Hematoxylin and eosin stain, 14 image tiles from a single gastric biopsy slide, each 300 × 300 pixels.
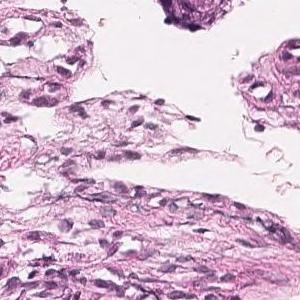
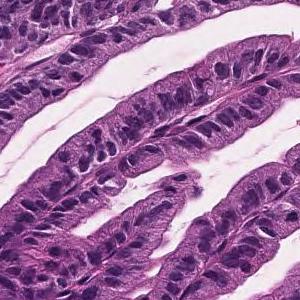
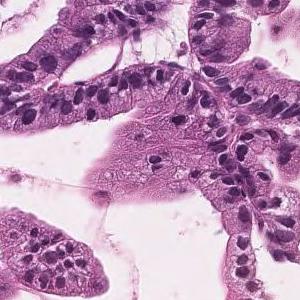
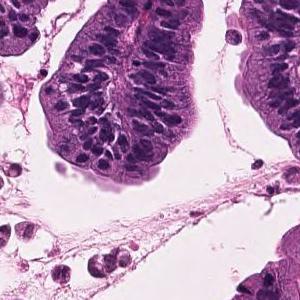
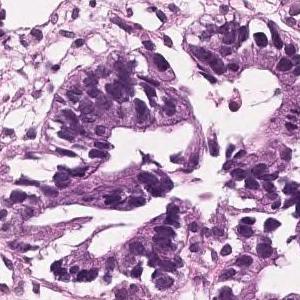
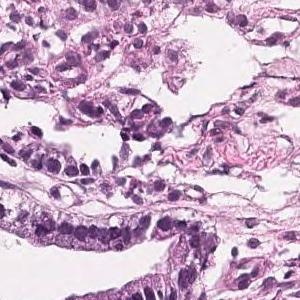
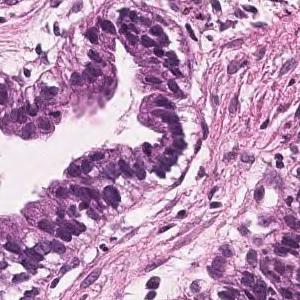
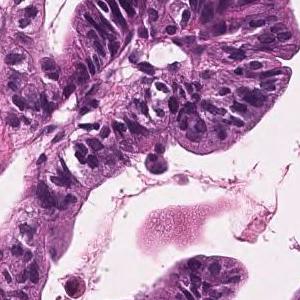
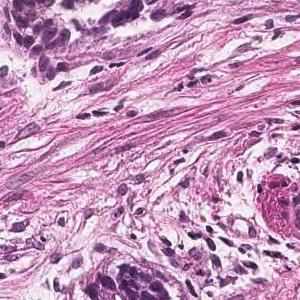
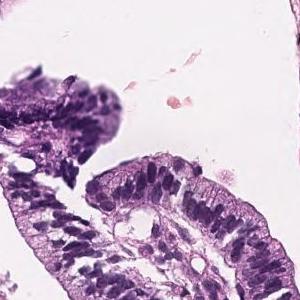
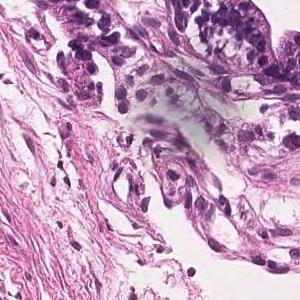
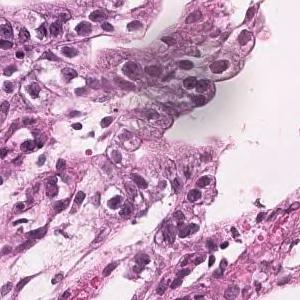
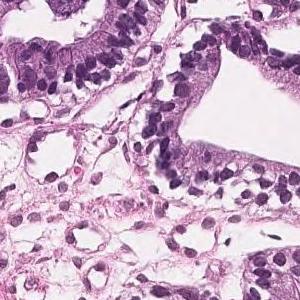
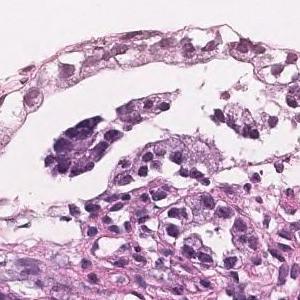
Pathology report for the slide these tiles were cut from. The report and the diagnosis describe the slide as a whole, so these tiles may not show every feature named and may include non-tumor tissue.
Tumor cells are large, highly columnar, large club-shaped nuclei, and are associated with chromatin aggregation. Papillary adenocarcinoma.
